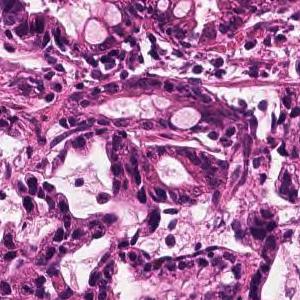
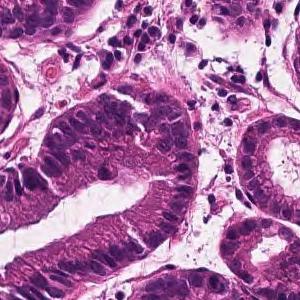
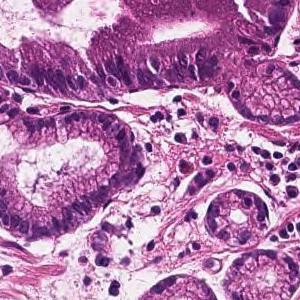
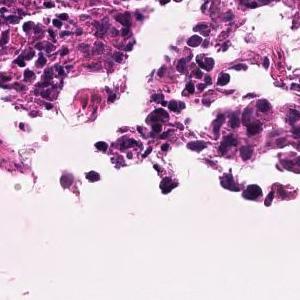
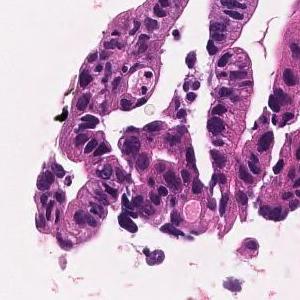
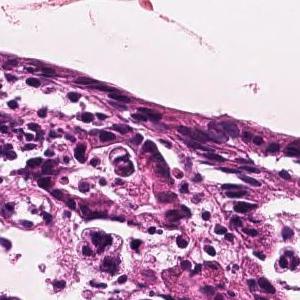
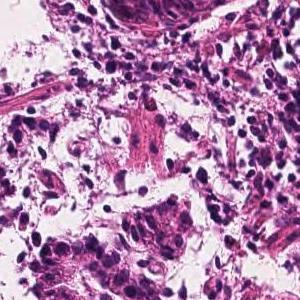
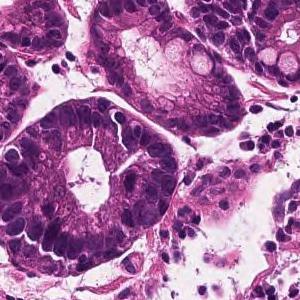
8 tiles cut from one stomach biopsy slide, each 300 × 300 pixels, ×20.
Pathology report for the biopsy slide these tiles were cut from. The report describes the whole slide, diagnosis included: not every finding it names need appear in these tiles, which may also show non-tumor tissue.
In the superficial epithelium, tumor tissue that invades by forming medium-sized to small, irregular ducts is observed. moderately differentiated tubular adenocarcinoma.
